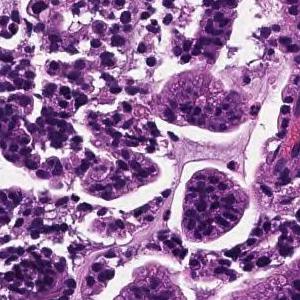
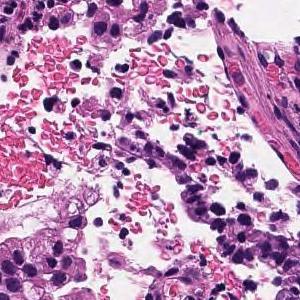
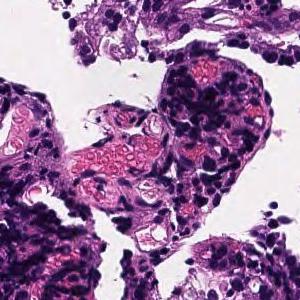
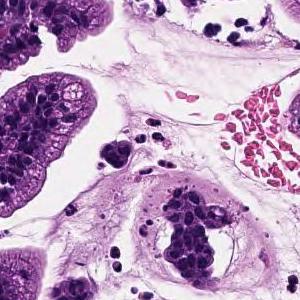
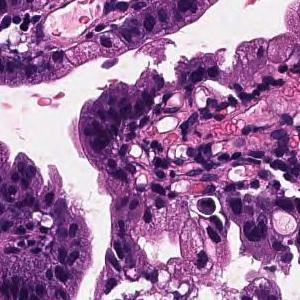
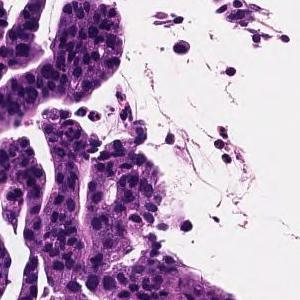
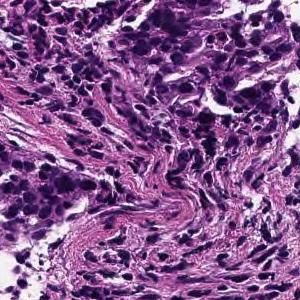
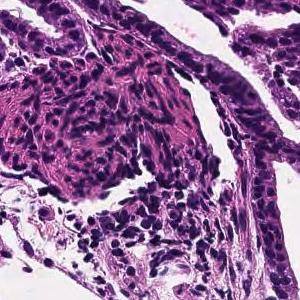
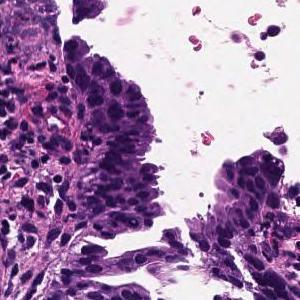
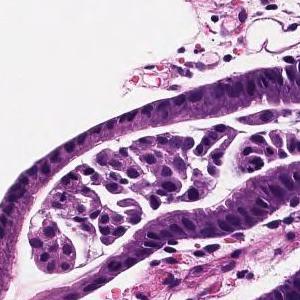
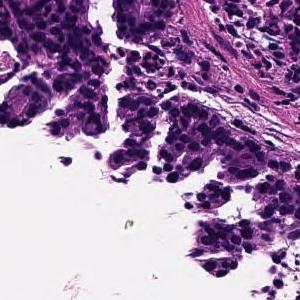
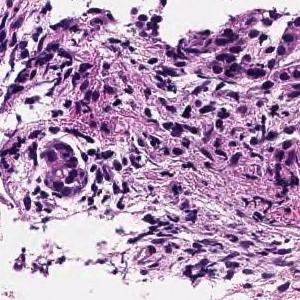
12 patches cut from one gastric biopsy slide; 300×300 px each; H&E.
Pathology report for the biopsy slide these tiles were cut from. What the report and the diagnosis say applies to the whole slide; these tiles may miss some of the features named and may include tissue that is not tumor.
On the superficial epithelium, tumor tissue that infiltrates by forming medium-sized papillary or small irregular ducts is observed. Papillary adenocarcinoma
